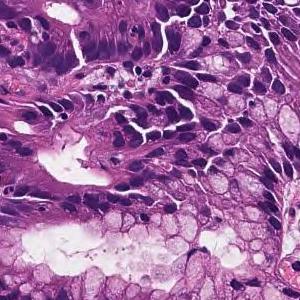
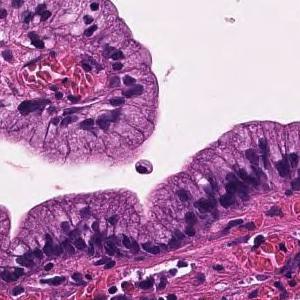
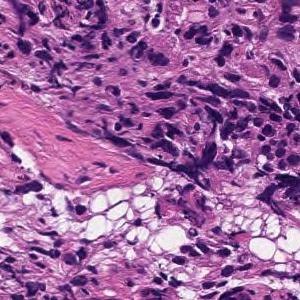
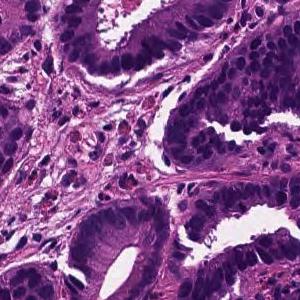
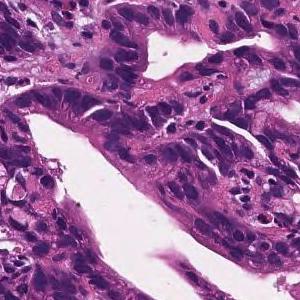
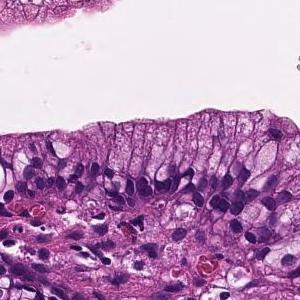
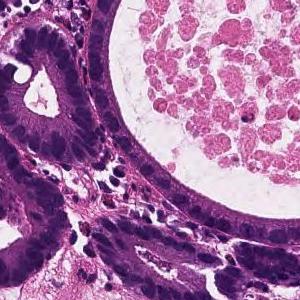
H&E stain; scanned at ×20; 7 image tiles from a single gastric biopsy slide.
Report on the slide these tiles come from. What the report and the diagnosis say applies to the whole slide; these tiles may miss some of the features named and may include tissue that is not tumor.
On the superficial epithelium, tumor tissue consisting of medium-sized and irregular glandular ducts partially fused and infiltrated is observed. Well to moderately differentiated tubular adenocarcinoma (well differentiated tubular adenocarcinoma-moderately differentiated tubular adenocarcinoma)
Subtype: Well to moderately differentiated tubular adenocarcinoma.
